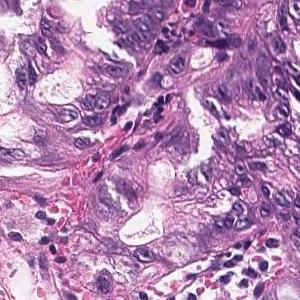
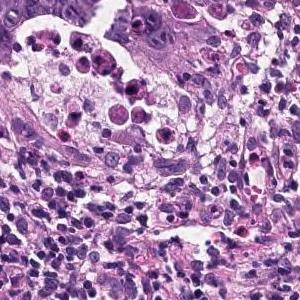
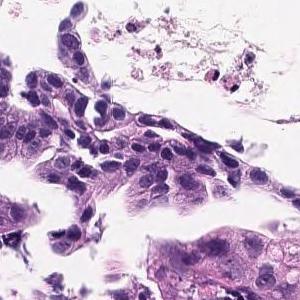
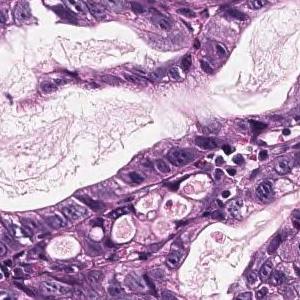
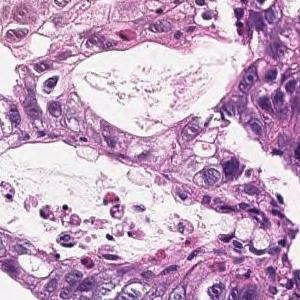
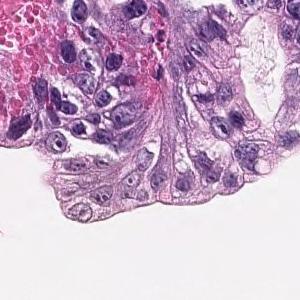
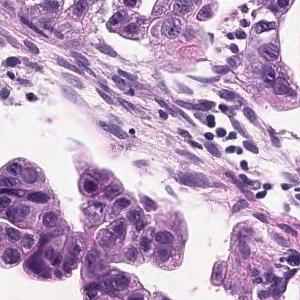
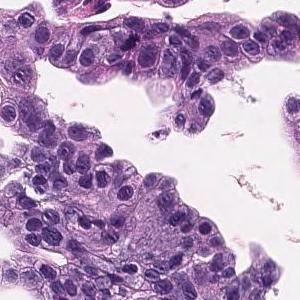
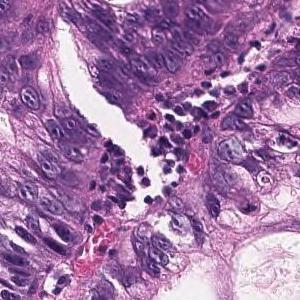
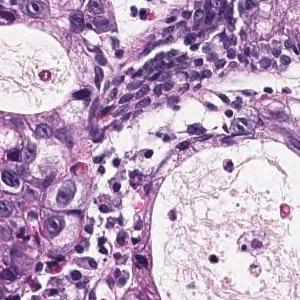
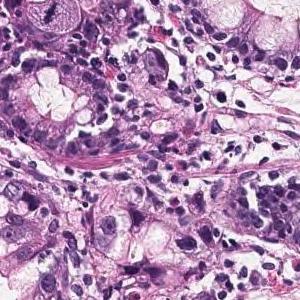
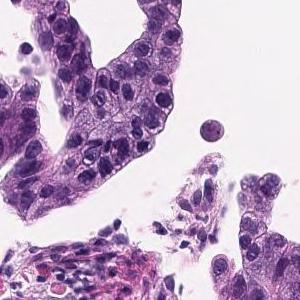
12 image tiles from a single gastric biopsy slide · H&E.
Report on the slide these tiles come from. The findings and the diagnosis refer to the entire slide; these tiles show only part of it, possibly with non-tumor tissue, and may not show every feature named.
Tumor cells are large, highly columnar, large club-shaped nuclei, and are associated with chromatin aggregation. Papillary adenocarcinoma.
